4 tiles from the same stomach biopsy slide; 20× magnification; H&E stain.
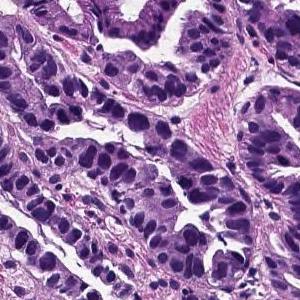
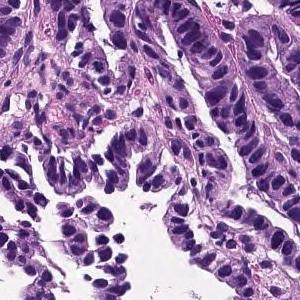
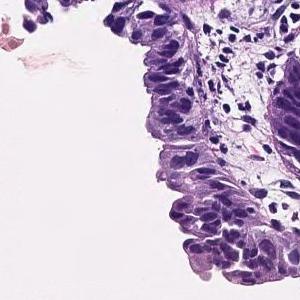
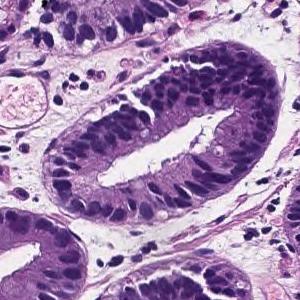
The pathologist's report on the biopsy slide these tiles were taken from. What the report and the diagnosis say applies to the whole slide; these tiles may miss some of the features named and may include tissue that is not tumor.
Tumor cells are large, highly columnar, large club-shaped nuclei, and are associated with chromatin aggregation. Papillary adenocarcinoma.
